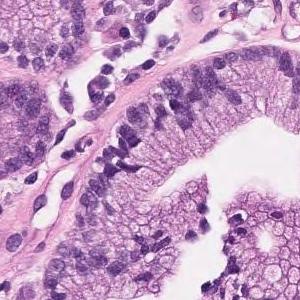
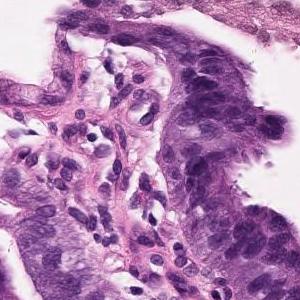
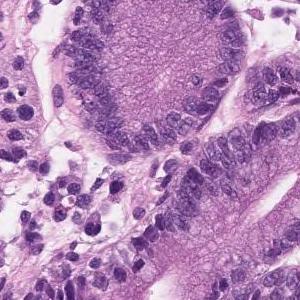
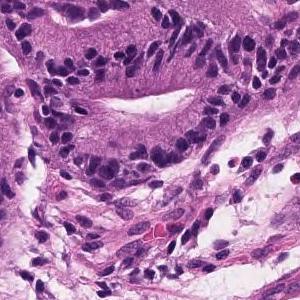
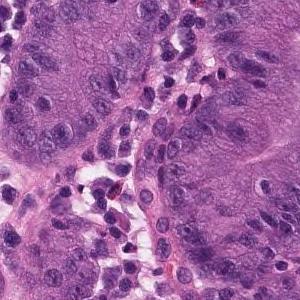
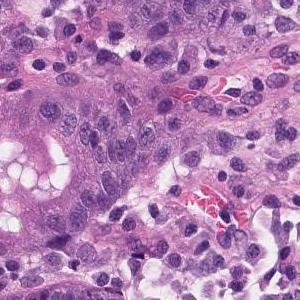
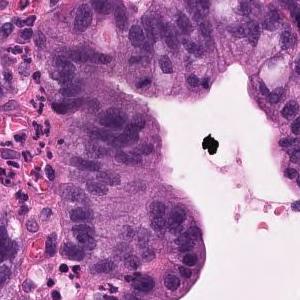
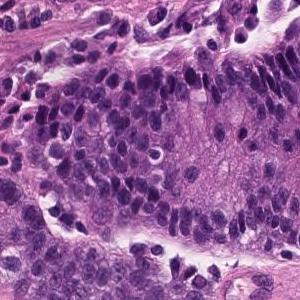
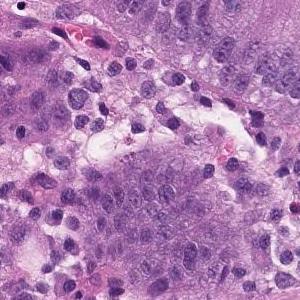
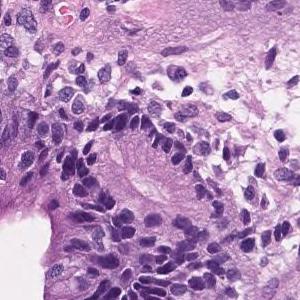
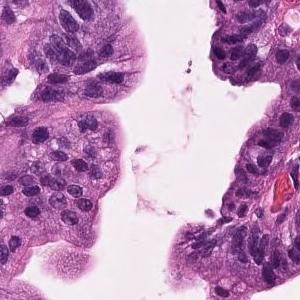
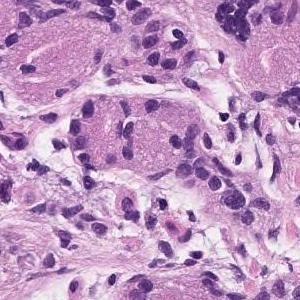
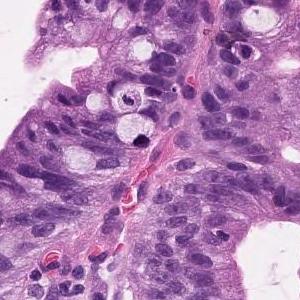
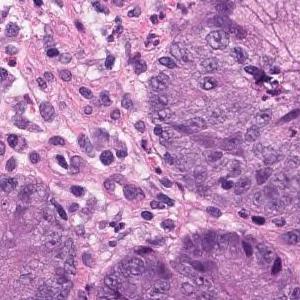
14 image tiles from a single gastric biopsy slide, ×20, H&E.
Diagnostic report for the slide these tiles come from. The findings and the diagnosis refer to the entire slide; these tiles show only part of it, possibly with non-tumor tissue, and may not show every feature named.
On the superficial epithelium, tumor tissue consisting of large, irregular glandular ducts partially fused and infiltrated is observed. Well to moderately differentiated tubular adenocarcinoma (well differentiated tubular adenocarcinoma, moderately differentiated tubular adenocarcinoma)
Histological subtype: Well to moderately differentiated tubular adenocarcinoma.
